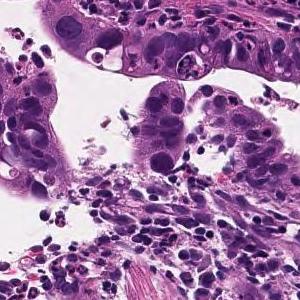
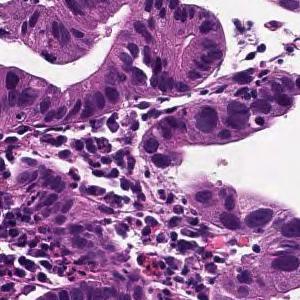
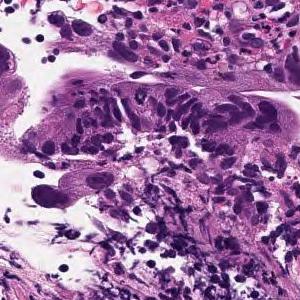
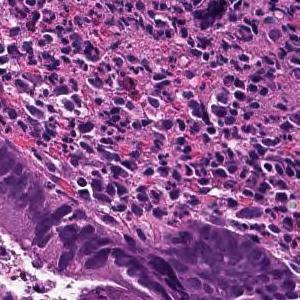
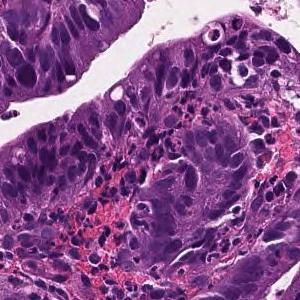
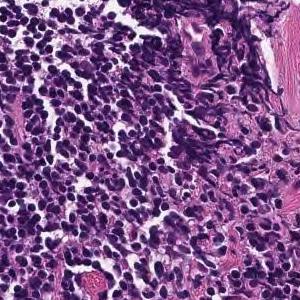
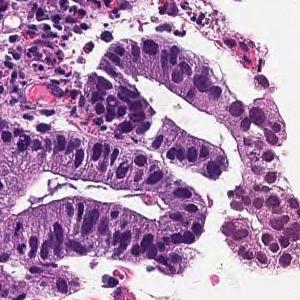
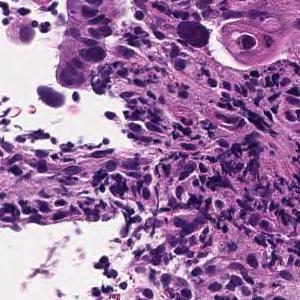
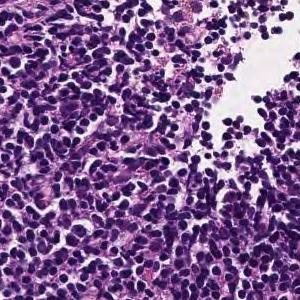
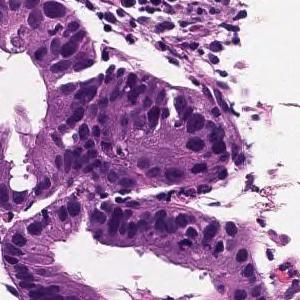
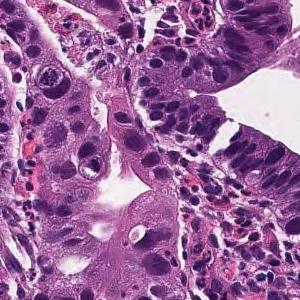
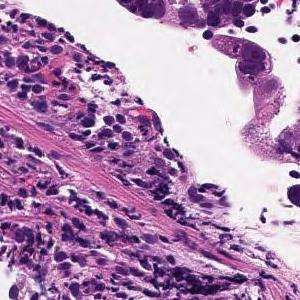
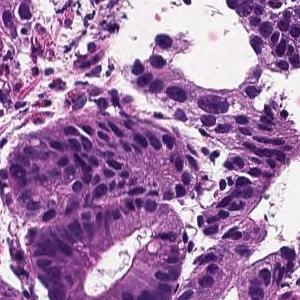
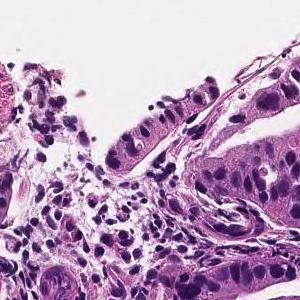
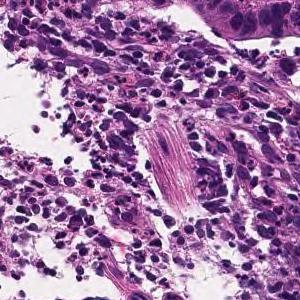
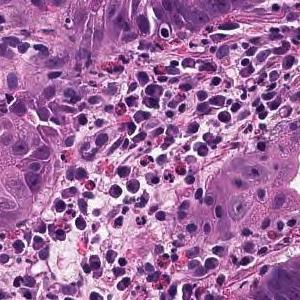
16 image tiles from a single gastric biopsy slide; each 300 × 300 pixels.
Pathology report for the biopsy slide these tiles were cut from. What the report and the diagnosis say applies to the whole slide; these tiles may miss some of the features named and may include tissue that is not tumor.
From the superficial epithelium to the muscularis mucosae, tumor tissue consisting of medium-sized and irregular glandular ducts infiltrating is observed. Well differentiated tubular adenocarcinoma
